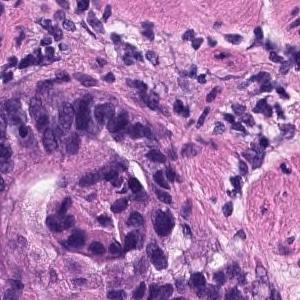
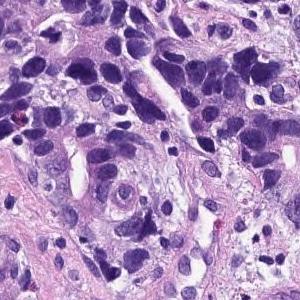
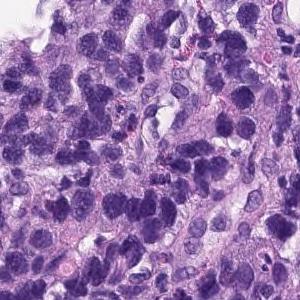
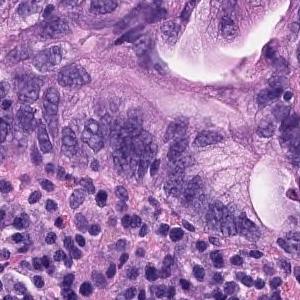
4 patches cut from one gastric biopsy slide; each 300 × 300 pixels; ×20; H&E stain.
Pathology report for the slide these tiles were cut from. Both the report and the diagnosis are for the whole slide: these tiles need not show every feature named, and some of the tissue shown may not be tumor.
On the superficial epithelium, tumor tissue consisting of images showing invasive growth with small, irregular tubules partially fused is observed. moderately differentiated tubular adenocarcinoma
